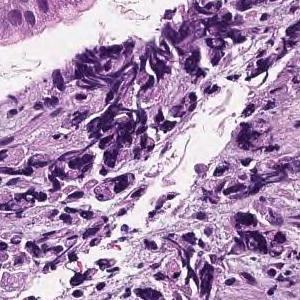
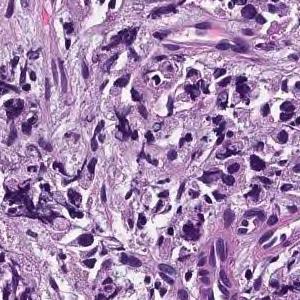
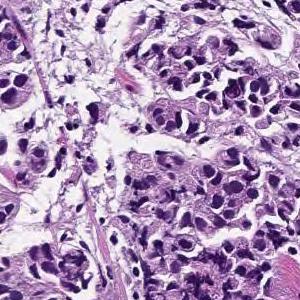
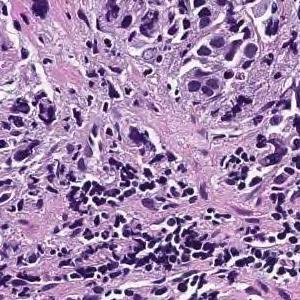
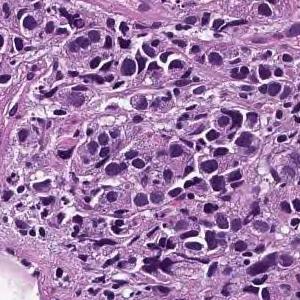
Scanned at ×20 · H&E · 5 image tiles from a single gastric biopsy slide · each 300 × 300 pixels.
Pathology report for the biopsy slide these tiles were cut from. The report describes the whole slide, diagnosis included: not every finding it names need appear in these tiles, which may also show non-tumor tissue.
The lamina propria shows small cord-like tumor tissue that infiltrates with fibrosis and marked chronic inflammatory cell infiltration. Poorly differentiated adenocarcinoma, non-solid type
The term "non-solid type" comes from the Japanese Classification of Gastric Carcinoma.
